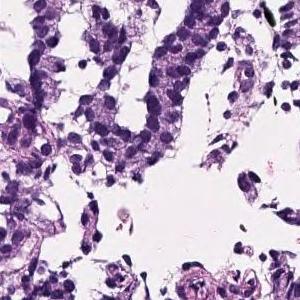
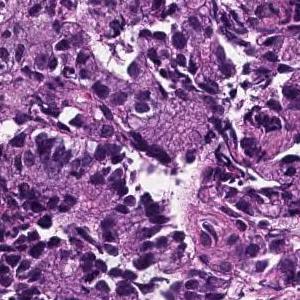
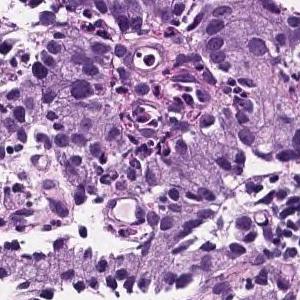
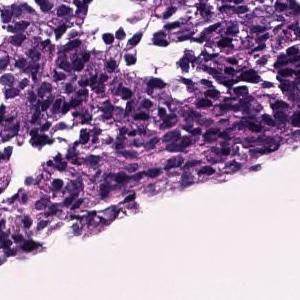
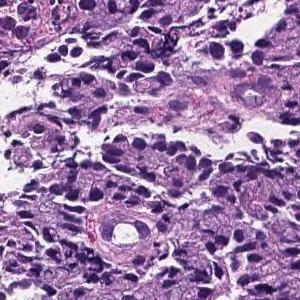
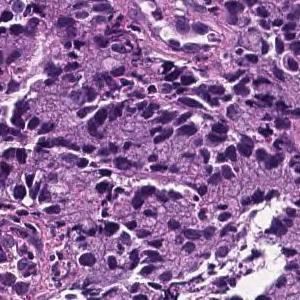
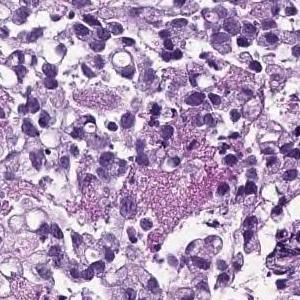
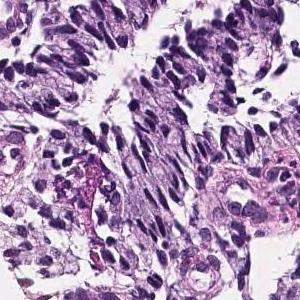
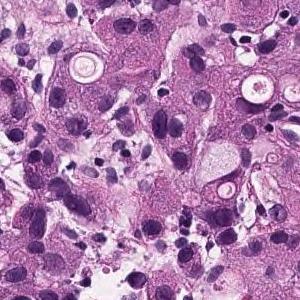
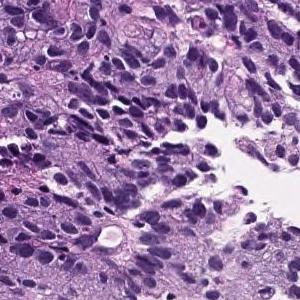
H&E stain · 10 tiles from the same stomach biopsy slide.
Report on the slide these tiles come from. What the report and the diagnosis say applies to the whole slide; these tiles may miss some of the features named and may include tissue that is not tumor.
Tumor tissue infiltrated by irregular fusion of small cord-like structures is found in the superficial epithelium. Poorly differentiated adenocarcinoma, non-solid type
"Non-solid type" is a category of the Japanese Classification of Gastric Carcinoma.
